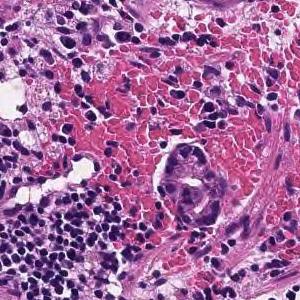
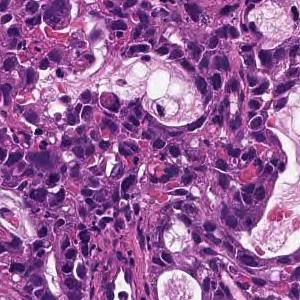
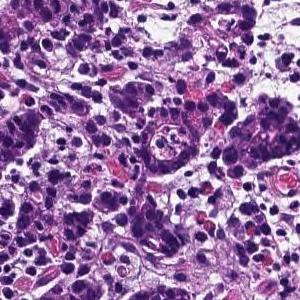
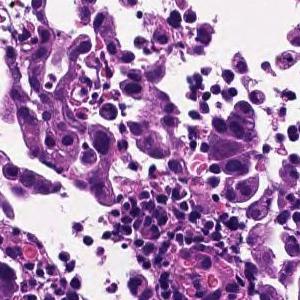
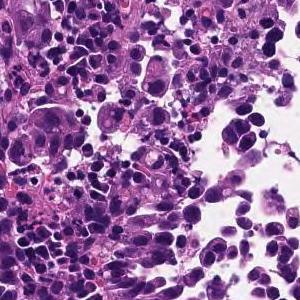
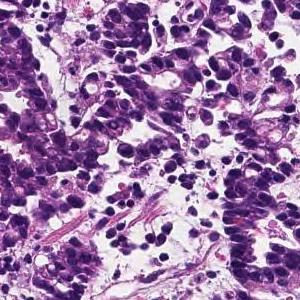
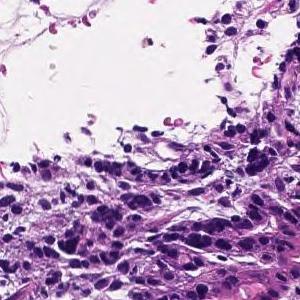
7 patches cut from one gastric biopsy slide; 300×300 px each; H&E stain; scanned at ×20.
Report on the slide these tiles come from. What the report and the diagnosis say applies to the whole slide; these tiles may miss some of the features named and may include tissue that is not tumor.
In the superficial epithelium, tumor tissue that invades by forming medium-sized to small, irregular ducts is observed. moderately differentiated tubular adenocarcinoma.
